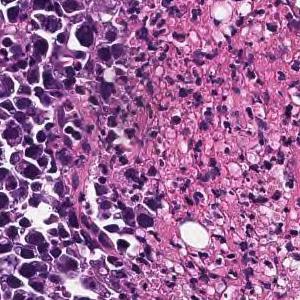
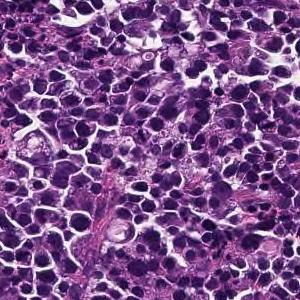
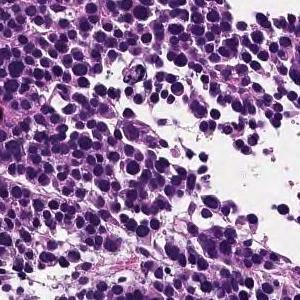
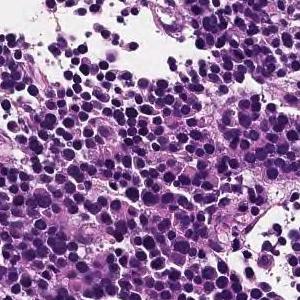
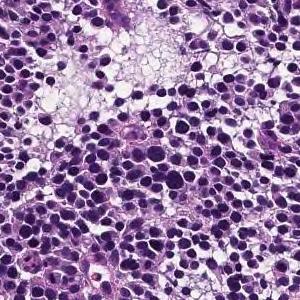
5 tiles from the same stomach biopsy slide · each 300 × 300 pixels · hematoxylin and eosin stain.
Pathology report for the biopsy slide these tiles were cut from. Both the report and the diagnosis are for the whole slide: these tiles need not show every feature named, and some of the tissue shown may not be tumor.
Large sheet-like or diffusely infiltrating tumor tissue is found in the superficial epithelium. Poorly differentiated adenocarcinoma, solid-type
Tumor subtype: poorly differentiated adenocarcinoma, solid type. This name comes from the Japanese Classification of Gastric Carcinoma; the WHO 2019 classification calls it tubular adenocarcinoma, poorly differentiated.
